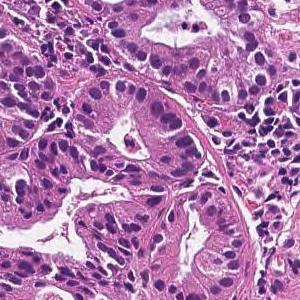
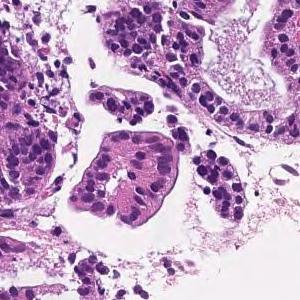
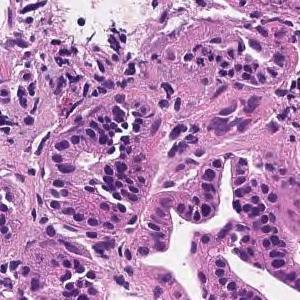
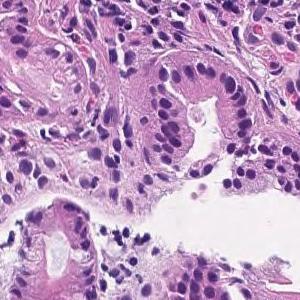
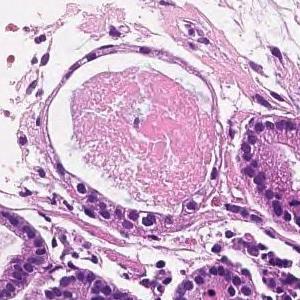
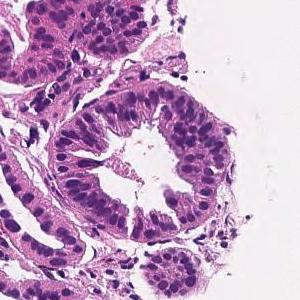
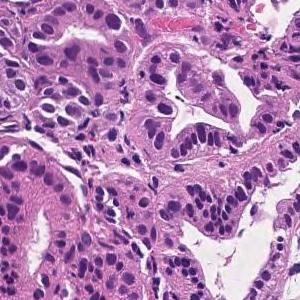
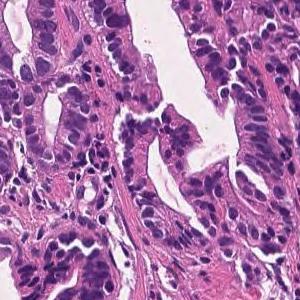
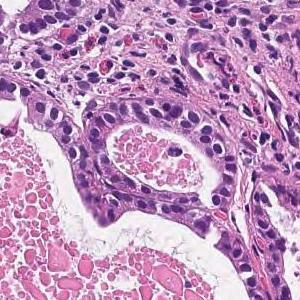
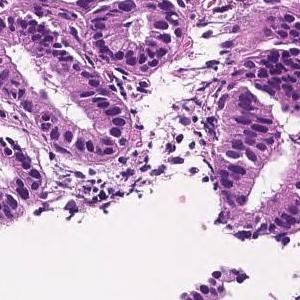
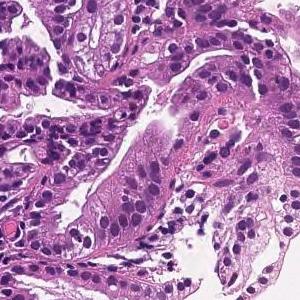
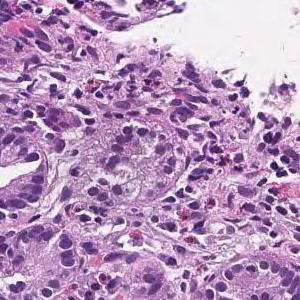
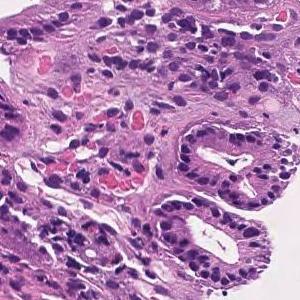
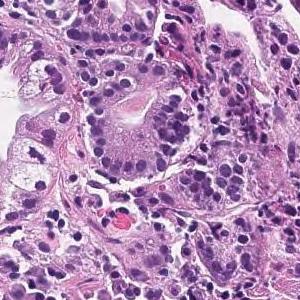
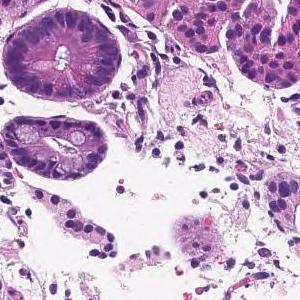
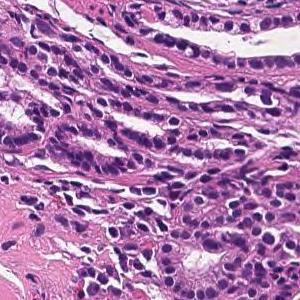
16 patches cut from one gastric biopsy slide, each 300 × 300 pixels, scanned at ×20.
Diagnostic report for the slide these tiles come from. Both the report and the diagnosis are for the whole slide: these tiles need not show every feature named, and some of the tissue shown may not be tumor.
On the superficial epithelium, tumor tissue that infiltrates by forming medium-sized papillary or small irregular ducts is observed. Papillary adenocarcinoma (Papillary adenocarcinoma)
Classified as papillary adenocarcinoma.
